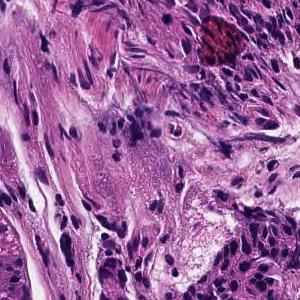
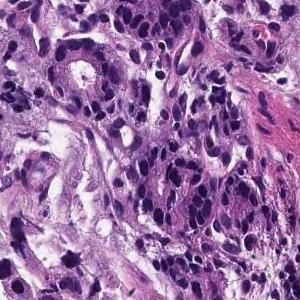
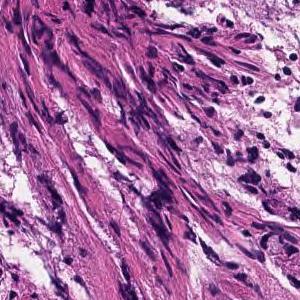
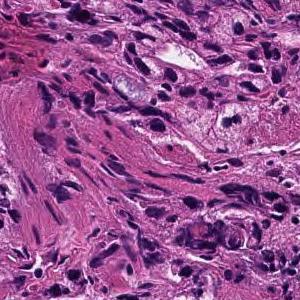
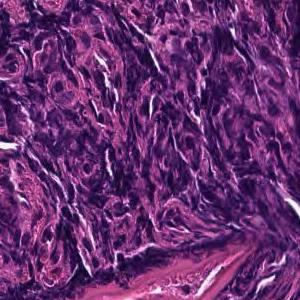
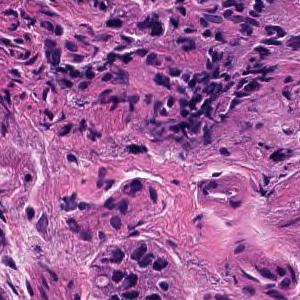
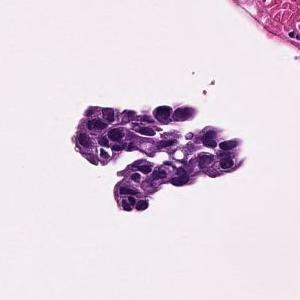
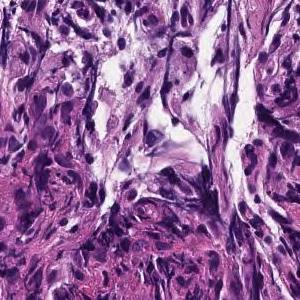
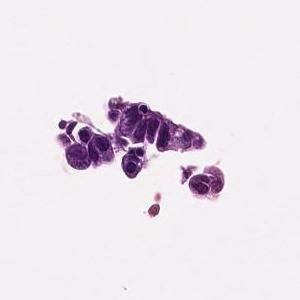
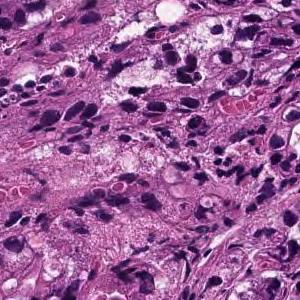
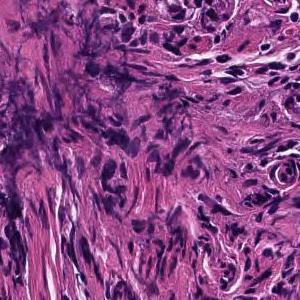
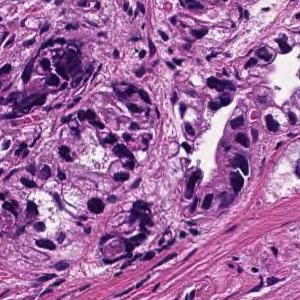
×20 · 12 tiles from the same stomach biopsy slide · each 300 × 300 pixels.
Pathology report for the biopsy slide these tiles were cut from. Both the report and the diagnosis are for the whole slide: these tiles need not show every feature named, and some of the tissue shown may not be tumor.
In the superficial epithelium, tumor tissue that invades by forming medium-sized to small, irregular ducts is observed. moderately differentiated tubular adenocarcinoma.
